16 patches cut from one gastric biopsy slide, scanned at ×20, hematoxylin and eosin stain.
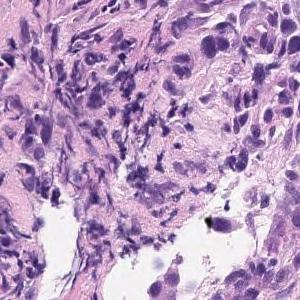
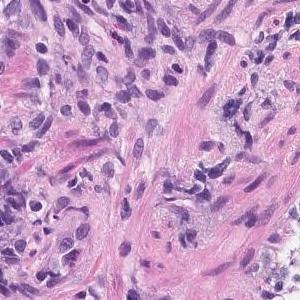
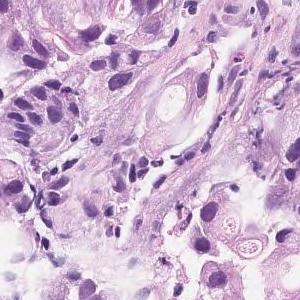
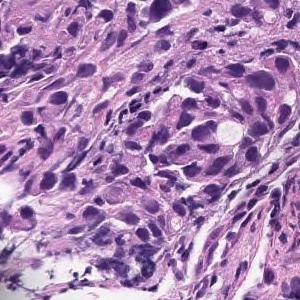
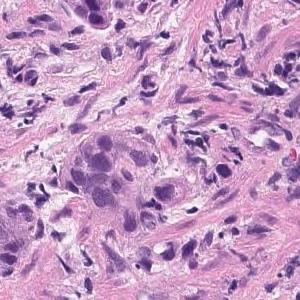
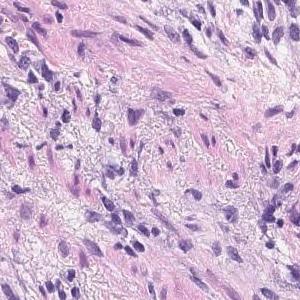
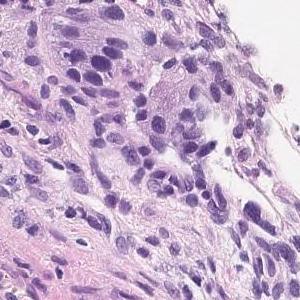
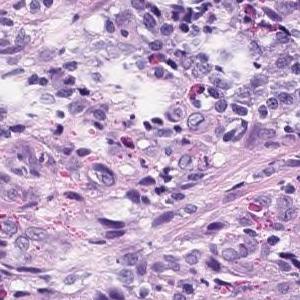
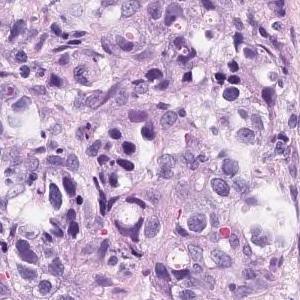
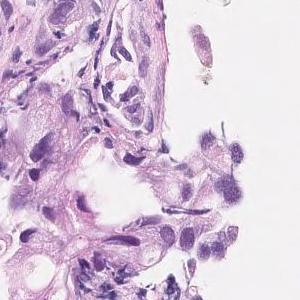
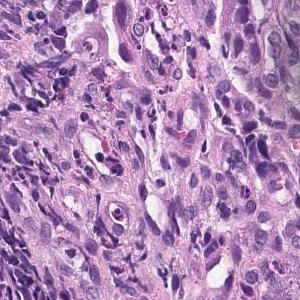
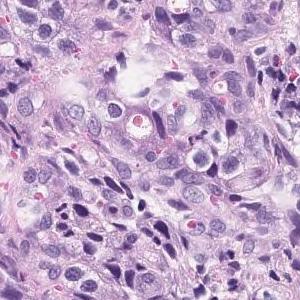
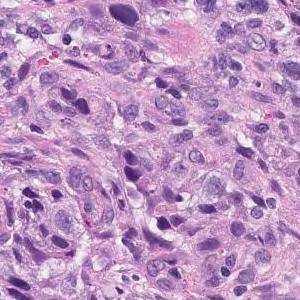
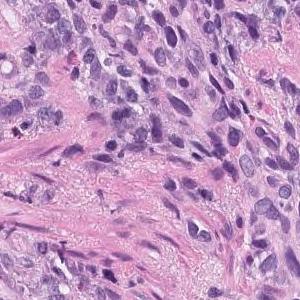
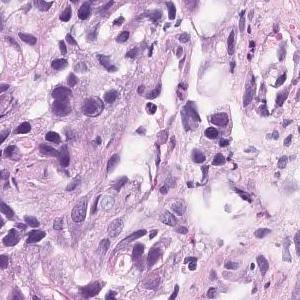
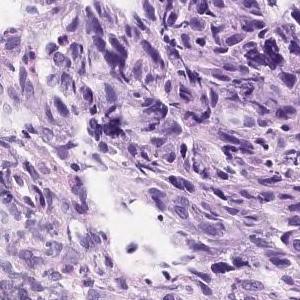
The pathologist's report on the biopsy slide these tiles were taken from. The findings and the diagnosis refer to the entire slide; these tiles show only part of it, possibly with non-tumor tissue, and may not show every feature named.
Group 5, Moderately differentiated adenocarcinoma
Subtype: Moderately differentiated tubular adenocarcinoma.
